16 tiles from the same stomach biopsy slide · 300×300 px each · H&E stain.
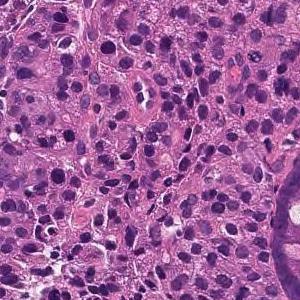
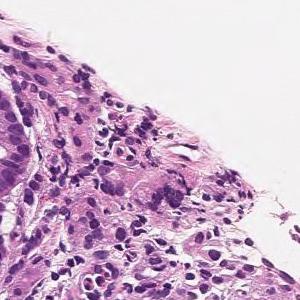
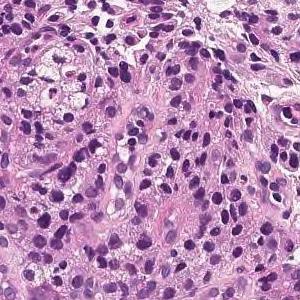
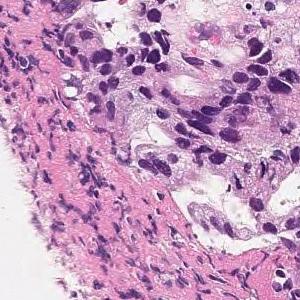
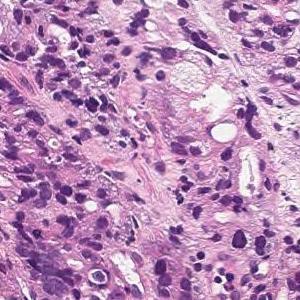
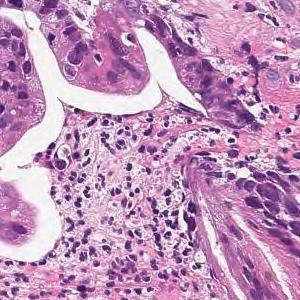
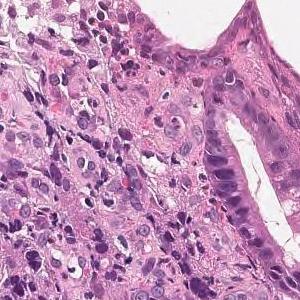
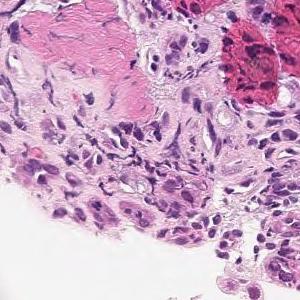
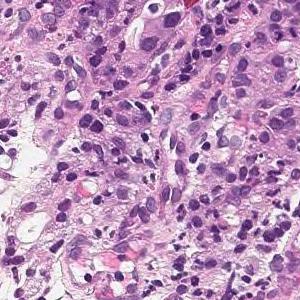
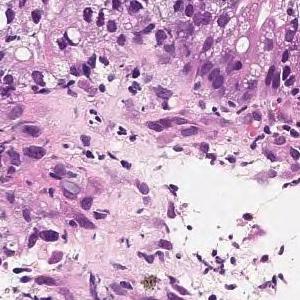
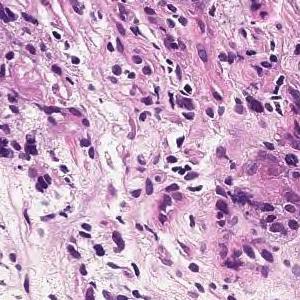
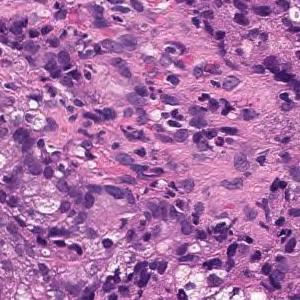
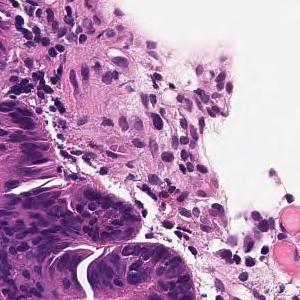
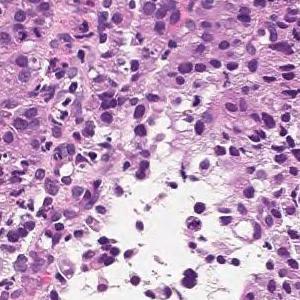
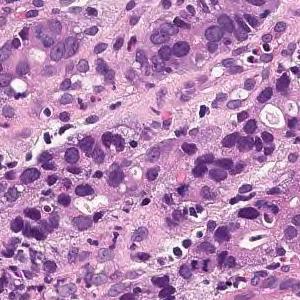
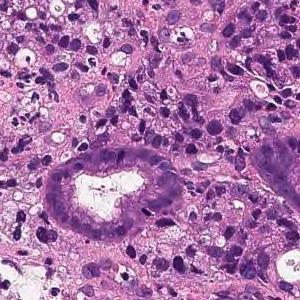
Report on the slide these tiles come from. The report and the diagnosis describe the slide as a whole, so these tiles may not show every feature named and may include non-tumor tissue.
In the superficial epithelium, medium to small irregular gland ducts are formed, and in some cases, the ducts are fused to show solid alveolar lesions and infiltrating tumor tissue is observed. moderately differentiated tubular adenocarcinoma or poorly differentiated adenocarcinoma, solid-type (poorly differentiated adenocarcinoma, solid type)
Labeled in the dataset as poorly differentiated adenocarcinoma, solid type, a category of the Japanese Classification of Gastric Carcinoma; in the WHO 2019 classification it is tubular adenocarcinoma, poorly differentiated.
